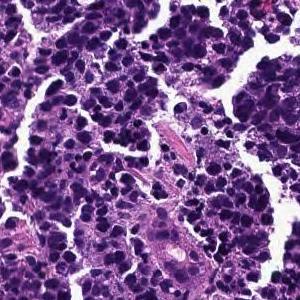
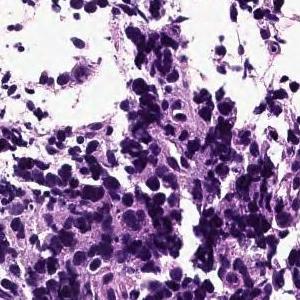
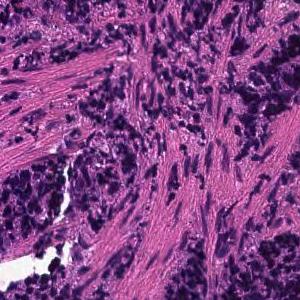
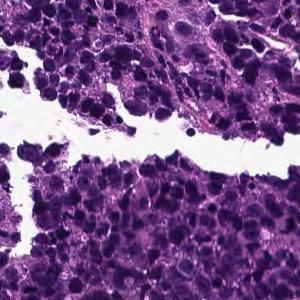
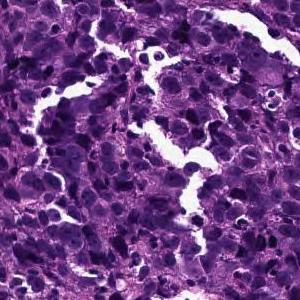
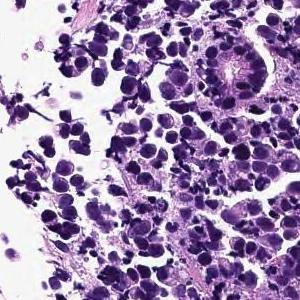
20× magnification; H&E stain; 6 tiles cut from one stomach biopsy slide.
The pathologist's report on the biopsy slide these tiles were taken from. Both the report and the diagnosis are for the whole slide: these tiles need not show every feature named, and some of the tissue shown may not be tumor.
The superficial epithelium shows large alveolar or sheet-like forms, and some tumor tissue infiltrates with small irregular ducts. Poorly differentiated adenocarcinoma, solid-type
Classified as poorly differentiated adenocarcinoma, solid type, a category of the Japanese Classification of Gastric Carcinoma; in the WHO 2019 classification it is tubular adenocarcinoma, poorly differentiated.
